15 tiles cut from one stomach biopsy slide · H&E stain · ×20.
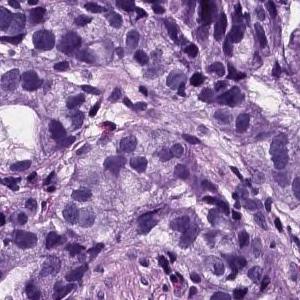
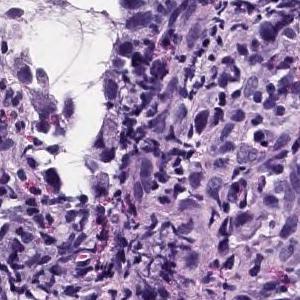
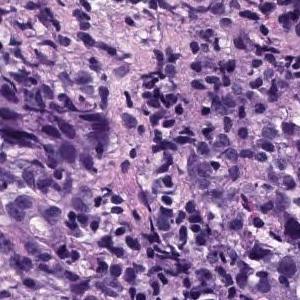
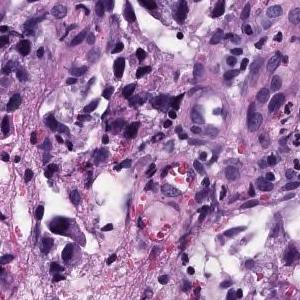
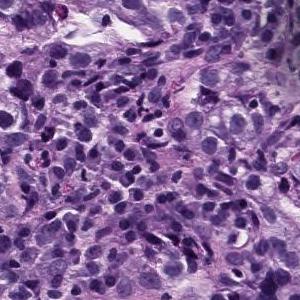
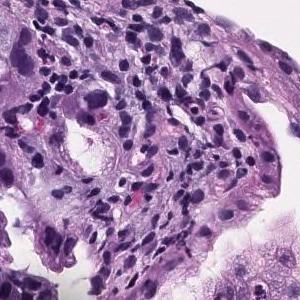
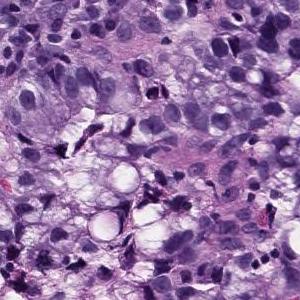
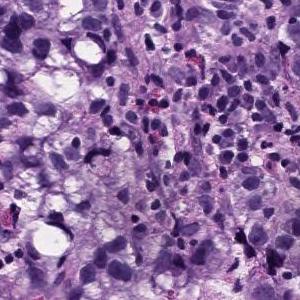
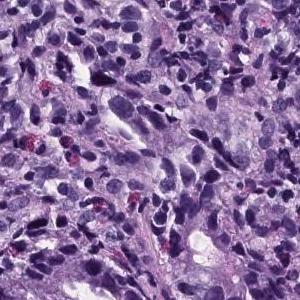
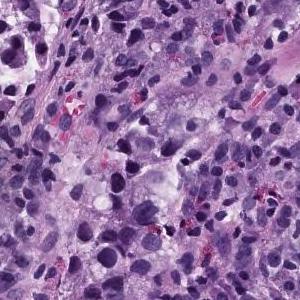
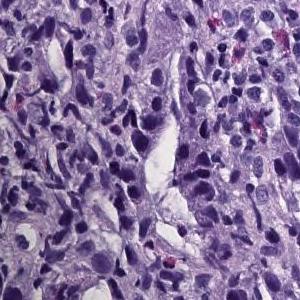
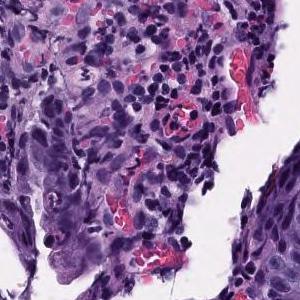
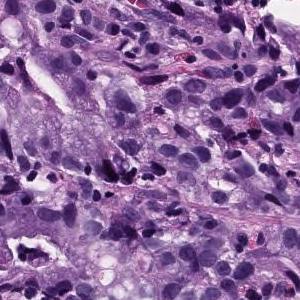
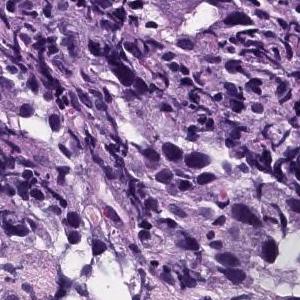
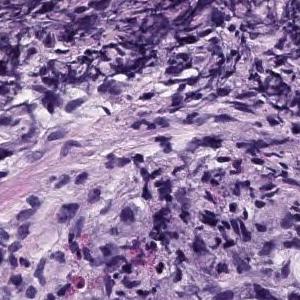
The pathologist's report on the biopsy slide these tiles were taken from. What the report and the diagnosis say applies to the whole slide; these tiles may miss some of the features named and may include tissue that is not tumor.
Atypical epithelial cells infiltrating and proliferating while forming solid or cord-like fused glandular cavities of different sizes is observed. moderately differentiated tubular adenocarcinoma, poorly differentiated adenocarcinoma.
Histologic type: Moderately to poorly differentiated adenocarcinoma.
